H&E stain · ×20 · 7 tiles from the same stomach biopsy slide · 300 × 300 pixels each.
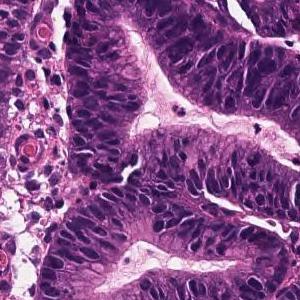
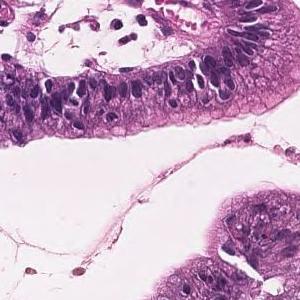
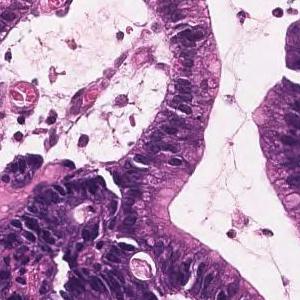
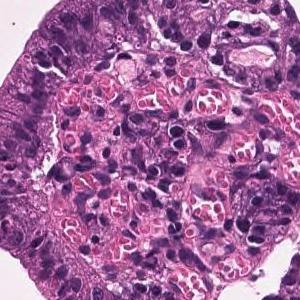
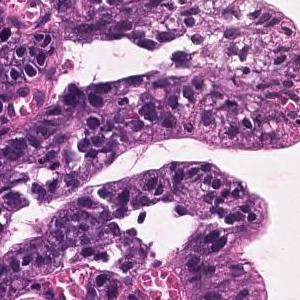
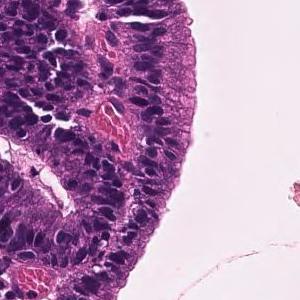
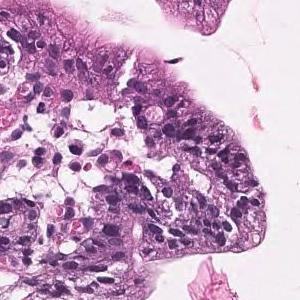
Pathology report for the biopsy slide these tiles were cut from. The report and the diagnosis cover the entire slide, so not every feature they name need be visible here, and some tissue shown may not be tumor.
On the superficial epithelium, tumor tissue that infiltrates by forming medium-sized papillary or small irregular ducts is observed. Papillary adenocarcinoma
